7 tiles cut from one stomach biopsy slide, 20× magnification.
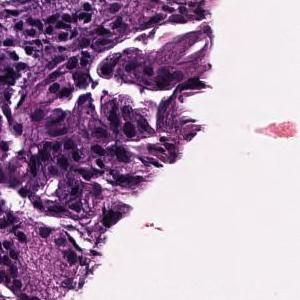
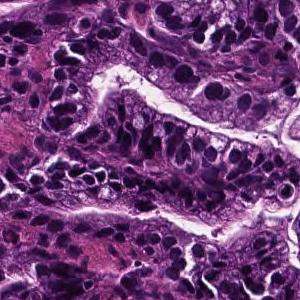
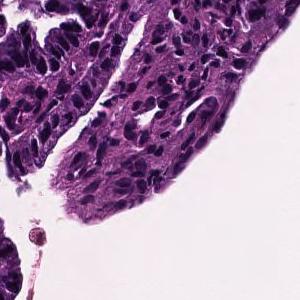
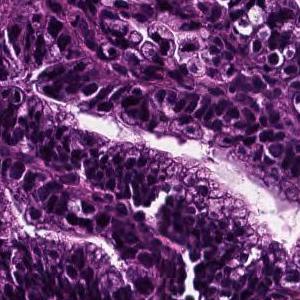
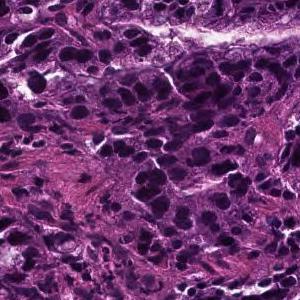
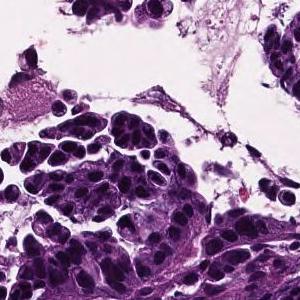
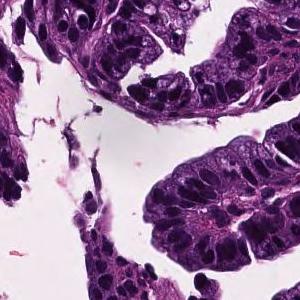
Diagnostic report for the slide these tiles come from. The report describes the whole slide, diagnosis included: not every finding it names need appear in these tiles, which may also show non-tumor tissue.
In the superficial epithelium, tumor tissue that invades by forming medium-sized to small, irregular ducts is observed. Well differentiated tubular adenocarcinoma.
